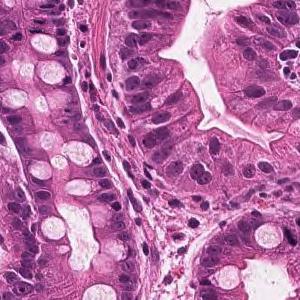
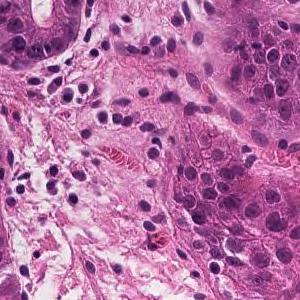
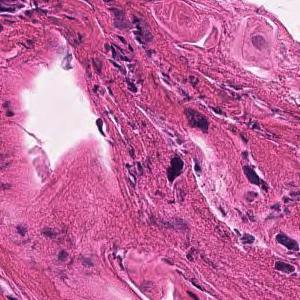
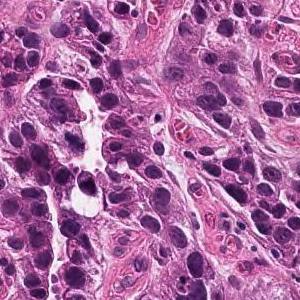
4 tiles cut from one stomach biopsy slide, H&E stain, scanned at ×20.
Pathology report for the biopsy slide these tiles were cut from. The report and the diagnosis cover the entire slide, so not every feature they name need be visible here, and some tissue shown may not be tumor.
Tumor tissue consisting of medium-sized, cord-like or irregular glandular infiltration is observed in the superficial epithelium. Poorly differentiated adenocarcinoma, non-solid type or moderately differentiated tubular adenocarcinoma
Classified as moderately to poorly differentiated adenocarcinoma.
The term "non-solid type" comes from the Japanese Classification of Gastric Carcinoma.
